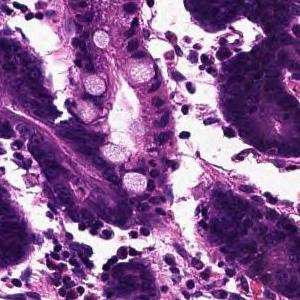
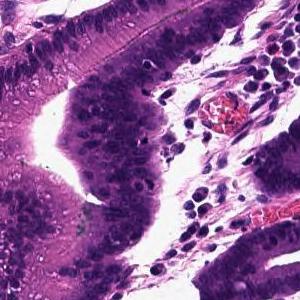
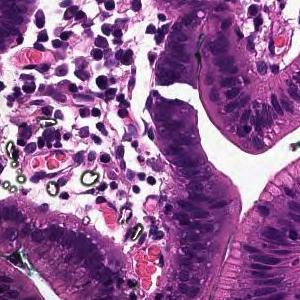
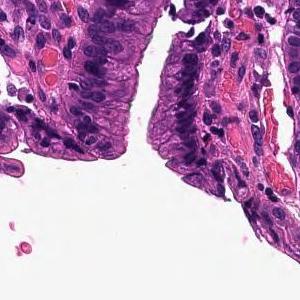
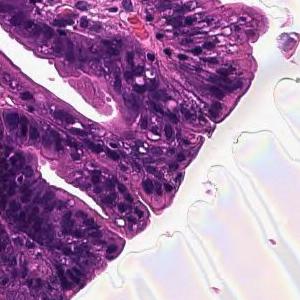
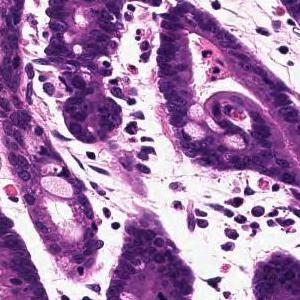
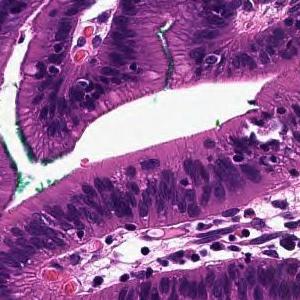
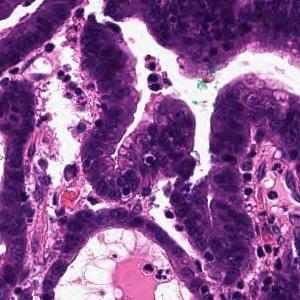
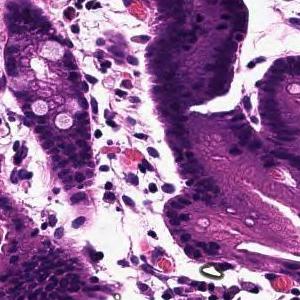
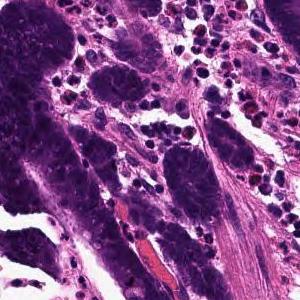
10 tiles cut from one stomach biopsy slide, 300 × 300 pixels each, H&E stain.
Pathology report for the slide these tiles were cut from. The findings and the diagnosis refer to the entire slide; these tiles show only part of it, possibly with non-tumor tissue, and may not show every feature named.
Tumor tissue that infiltrates by forming large papillary or large irregular glandular ducts is observed confined to the mucosa. Papillary adenocarcinoma
